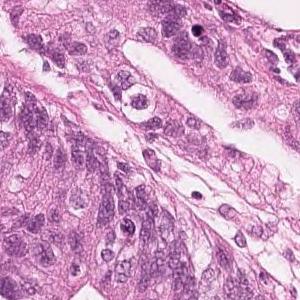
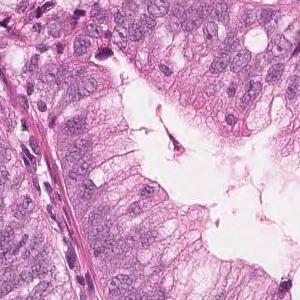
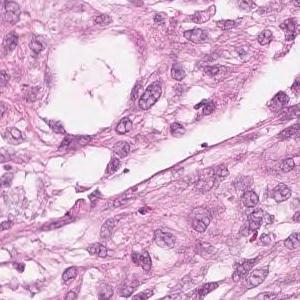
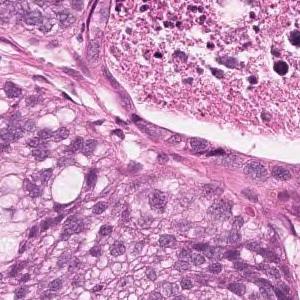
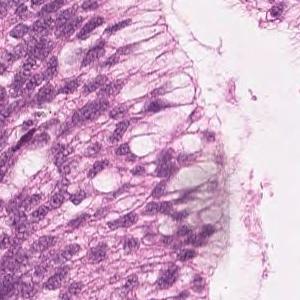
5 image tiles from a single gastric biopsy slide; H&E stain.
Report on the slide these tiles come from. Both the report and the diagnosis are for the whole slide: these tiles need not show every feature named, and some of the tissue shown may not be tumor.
Highly columnar epithelium with disordered nuclear localization proliferates showing fusion ductal construction. moderately differentiated tubular adenocarcinoma
